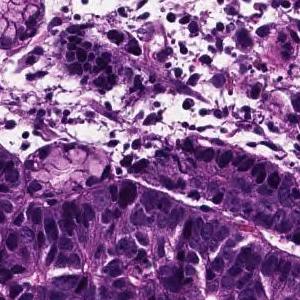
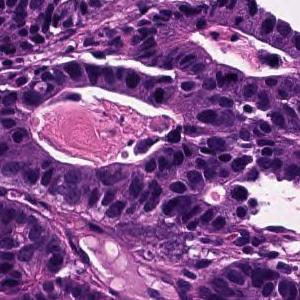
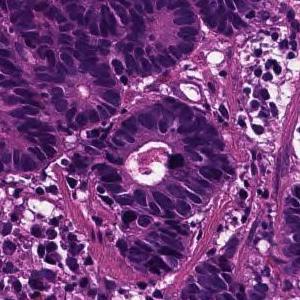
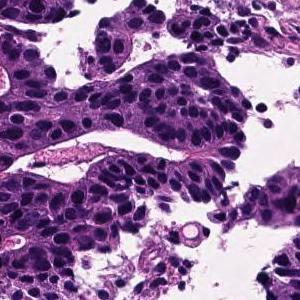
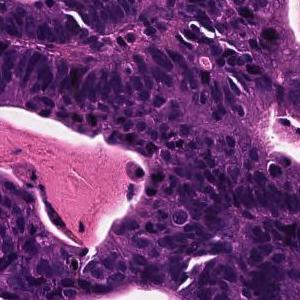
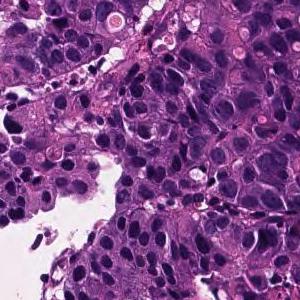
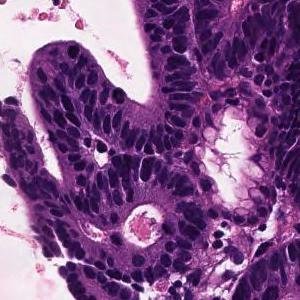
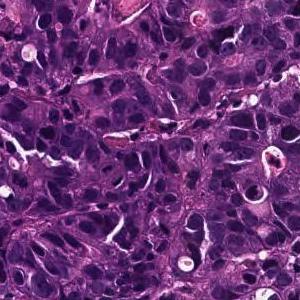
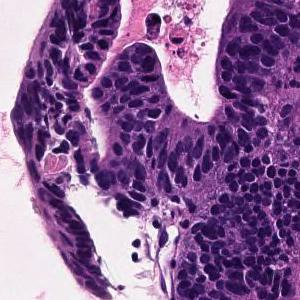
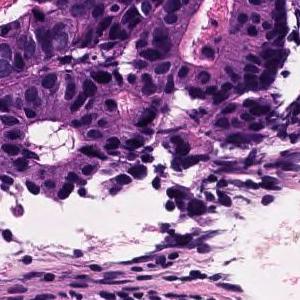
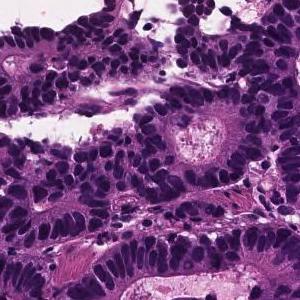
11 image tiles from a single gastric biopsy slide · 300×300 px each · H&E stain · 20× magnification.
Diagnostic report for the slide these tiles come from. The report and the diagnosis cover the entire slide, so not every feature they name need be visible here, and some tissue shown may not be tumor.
In the superficial epithelium, tumor tissue that invades by forming medium-sized to small, irregular ducts is observed. moderately differentiated tubular adenocarcinoma.
